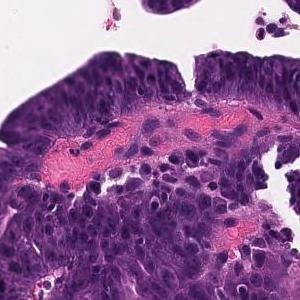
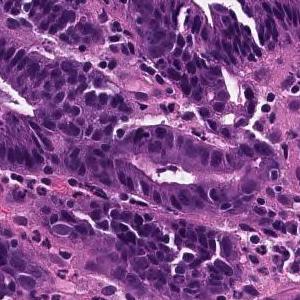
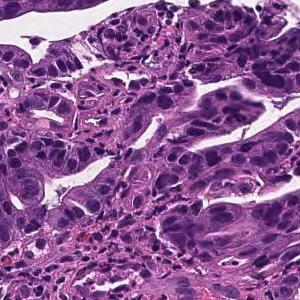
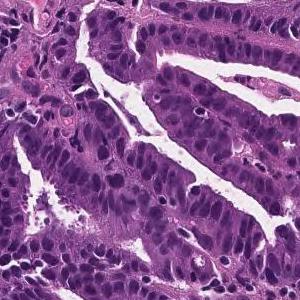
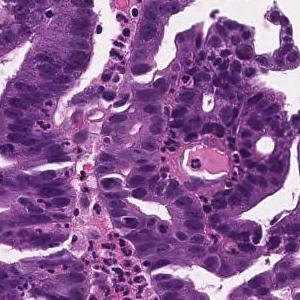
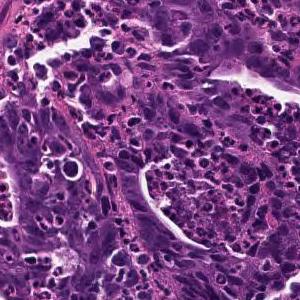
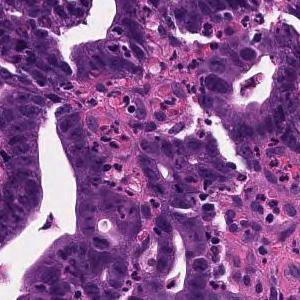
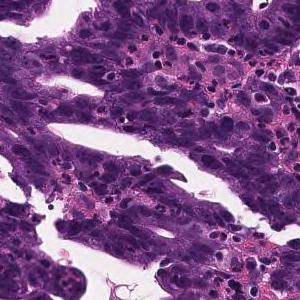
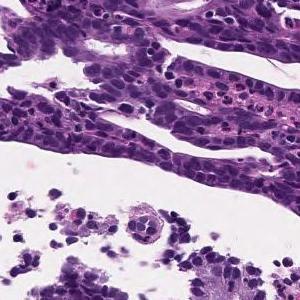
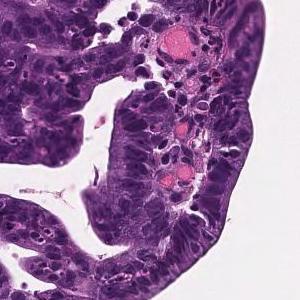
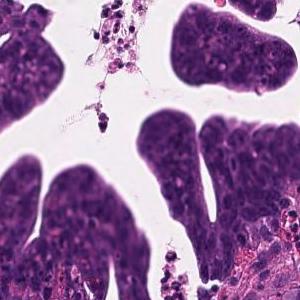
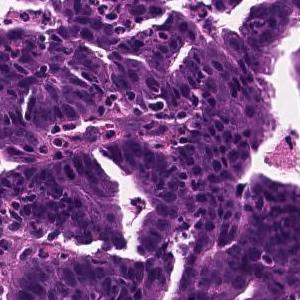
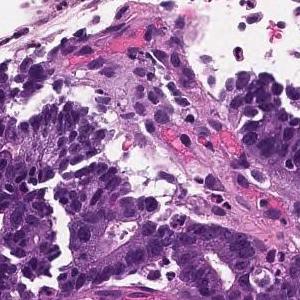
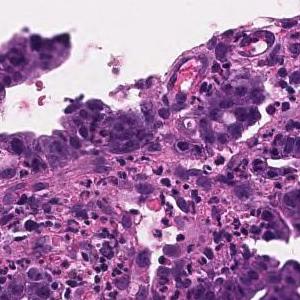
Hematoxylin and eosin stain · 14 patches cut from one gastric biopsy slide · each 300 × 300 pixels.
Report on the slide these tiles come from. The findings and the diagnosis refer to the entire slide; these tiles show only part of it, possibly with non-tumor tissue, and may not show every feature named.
Tumor cells are large, highly columnar, large club-shaped nuclei, and are associated with chromatin aggregation. Papillary adenocarcinoma.
